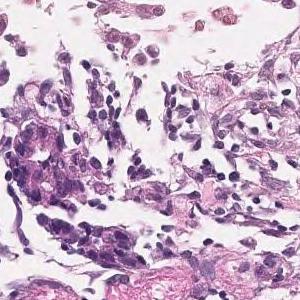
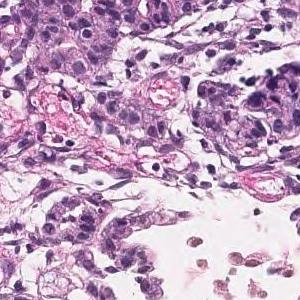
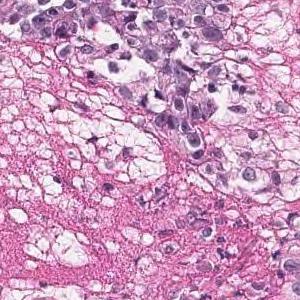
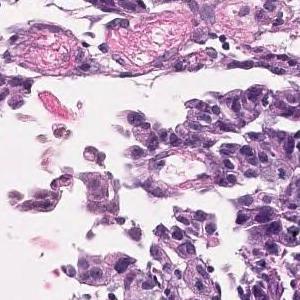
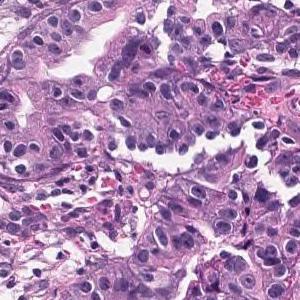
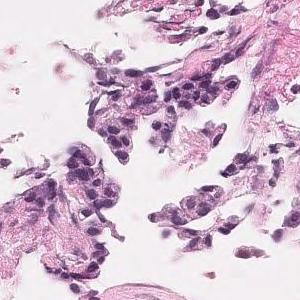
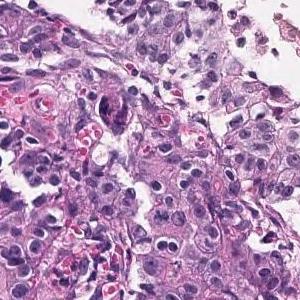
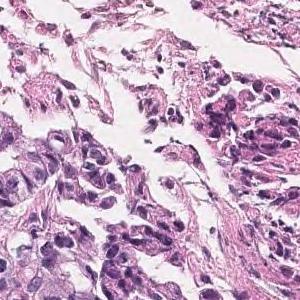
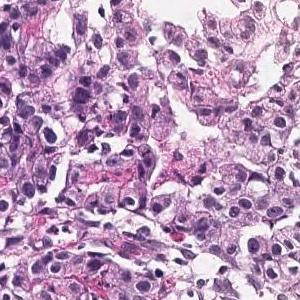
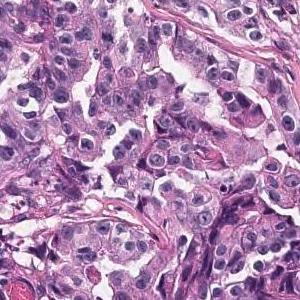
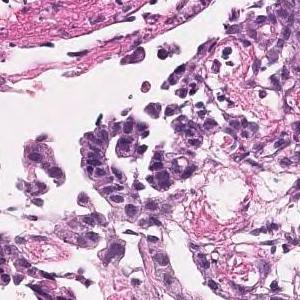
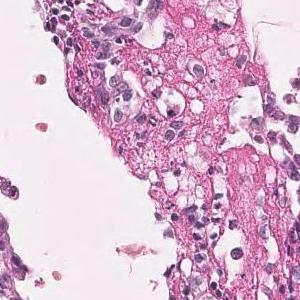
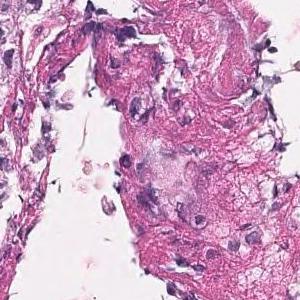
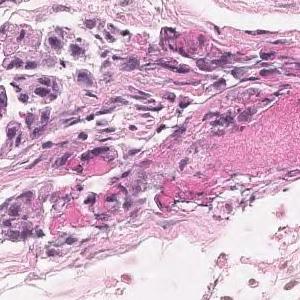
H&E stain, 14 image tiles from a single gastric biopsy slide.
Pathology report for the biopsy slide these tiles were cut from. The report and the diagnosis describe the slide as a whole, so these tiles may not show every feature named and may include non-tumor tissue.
In the superficial epithelium, tumor tissue that invades by forming medium-sized to small, irregular ducts is observed. moderately differentiated tubular adenocarcinoma.
